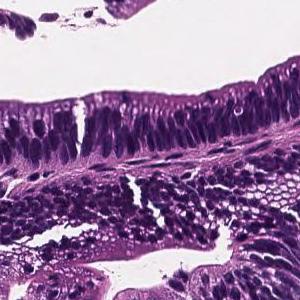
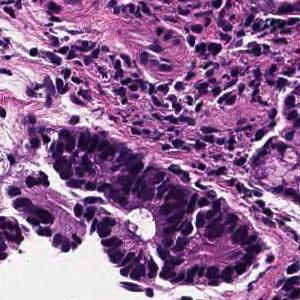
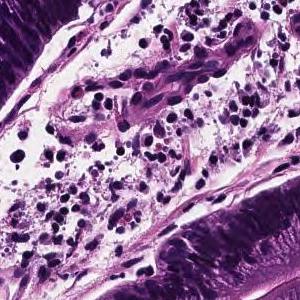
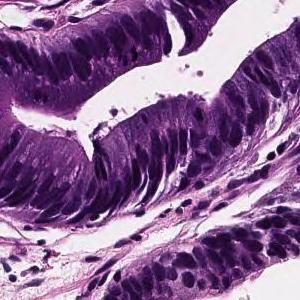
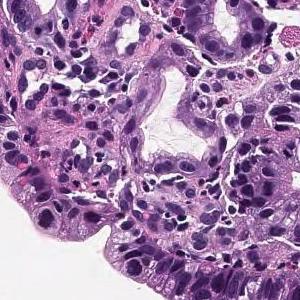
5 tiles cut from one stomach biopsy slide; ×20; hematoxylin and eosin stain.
Diagnostic report for the slide these tiles come from. What the report and the diagnosis say applies to the whole slide; these tiles may miss some of the features named and may include tissue that is not tumor.
Tumor cells are large, highly columnar, large club-shaped nuclei, and are associated with chromatin aggregation. Papillary adenocarcinoma.
